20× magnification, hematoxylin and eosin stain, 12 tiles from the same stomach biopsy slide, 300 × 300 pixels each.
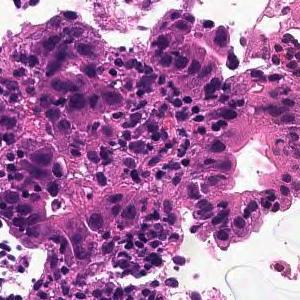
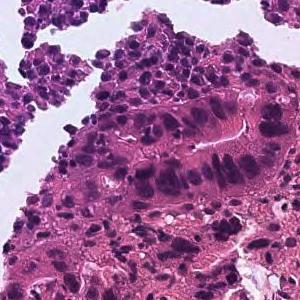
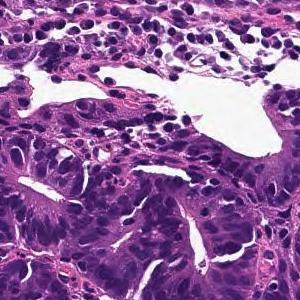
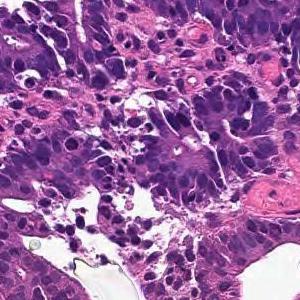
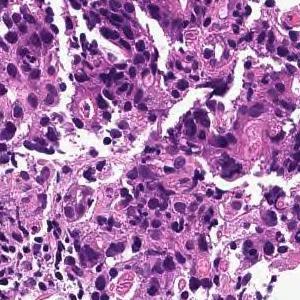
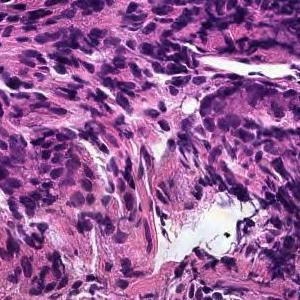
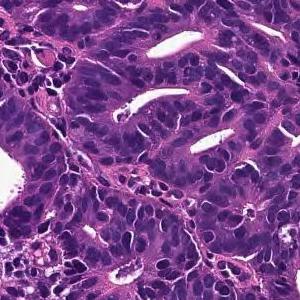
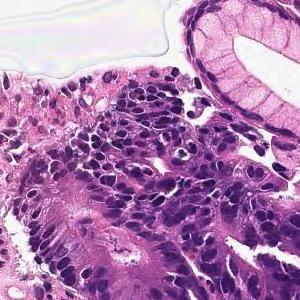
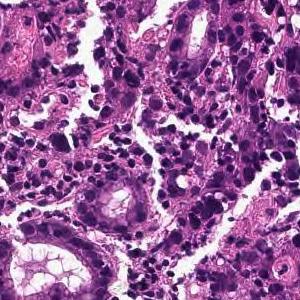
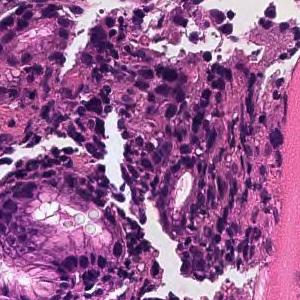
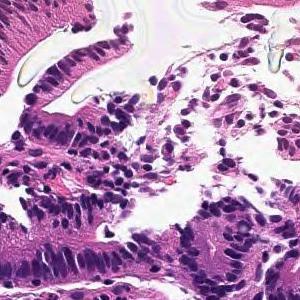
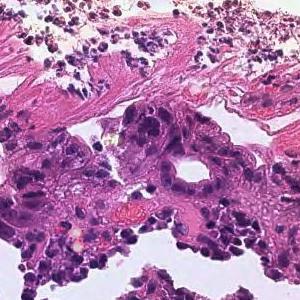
Pathology report for the biopsy slide these tiles were cut from. Both the report and the diagnosis are for the whole slide: these tiles need not show every feature named, and some of the tissue shown may not be tumor.
On the superficial epithelium, tumor tissue consisting of large irregular glandular ducts partially fused and infiltrated is observed. Well to moderately differentiated tubular adenocarcinoma (well differentiated tubular adenocarcinoma, moderately differentiated tubular adenocarcinoma)
Histological subtype: Well to moderately differentiated tubular adenocarcinoma.
